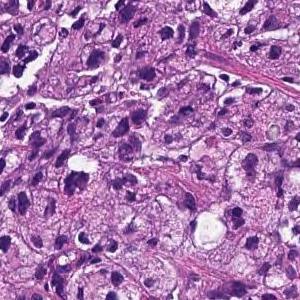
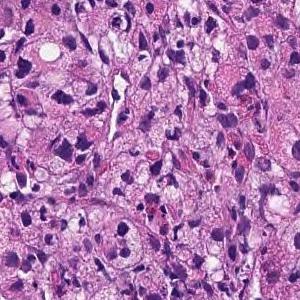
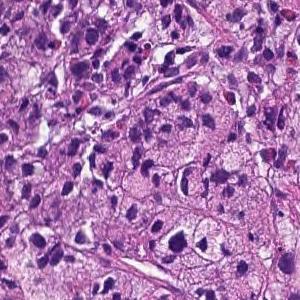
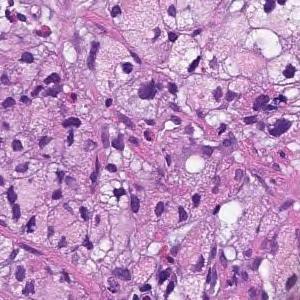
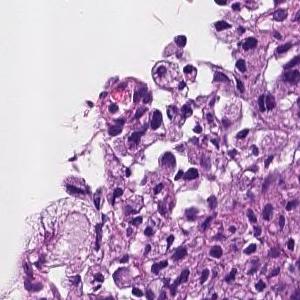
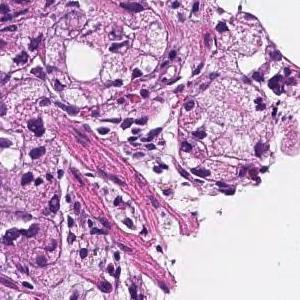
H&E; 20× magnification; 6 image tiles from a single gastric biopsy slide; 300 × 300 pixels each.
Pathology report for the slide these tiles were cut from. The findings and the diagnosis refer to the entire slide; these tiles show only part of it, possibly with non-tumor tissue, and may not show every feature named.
In the lamina propria, a tumor tissue consisting of signet ring cell type atypical epithelial cells infiltrating is observed. Signet ring cell carcinoma.
